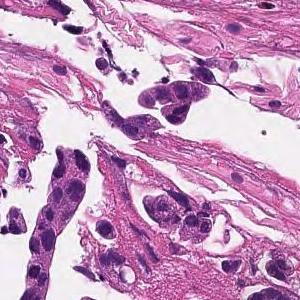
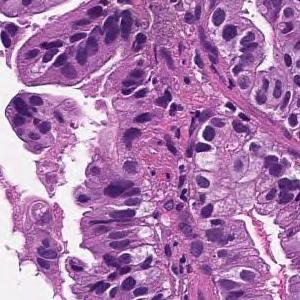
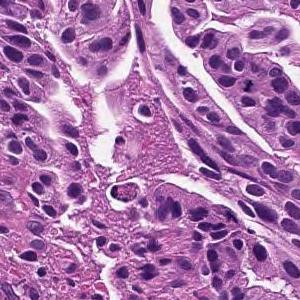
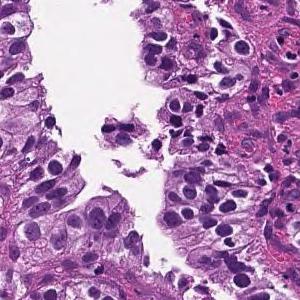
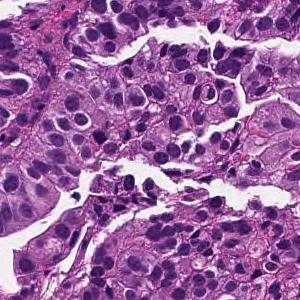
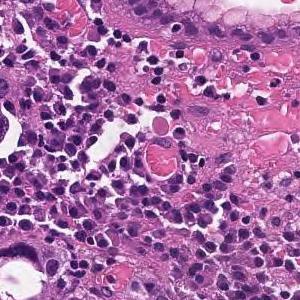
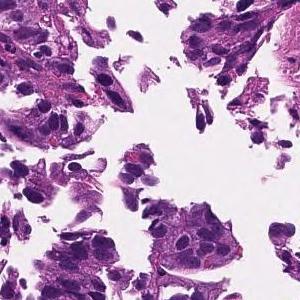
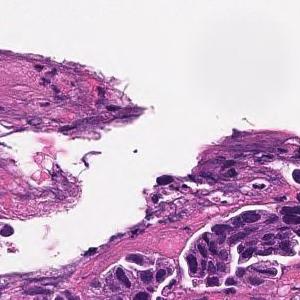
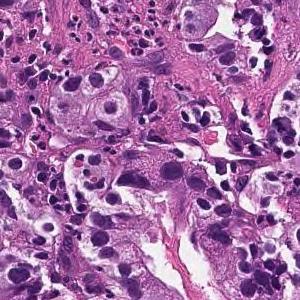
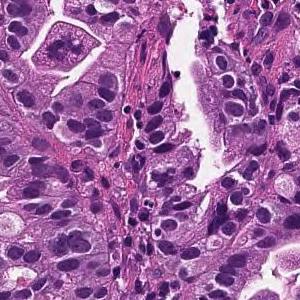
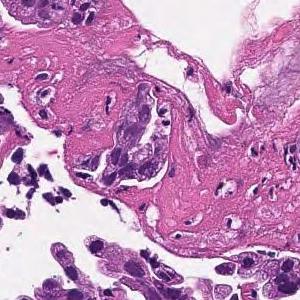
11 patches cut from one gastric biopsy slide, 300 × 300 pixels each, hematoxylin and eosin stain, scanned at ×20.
The pathologist's report on the biopsy slide these tiles were taken from. The report describes the whole slide, diagnosis included: not every finding it names need appear in these tiles, which may also show non-tumor tissue.
Medium to small, irregular glandular ducts are formed in the superficial epithelium, and in some cases, the glandular ducts are fused to show solid alveolar lesions and infiltrating tumor tissue is observed. Moderately to poorly differentiated adenocarcinoma.
